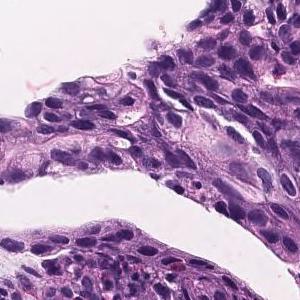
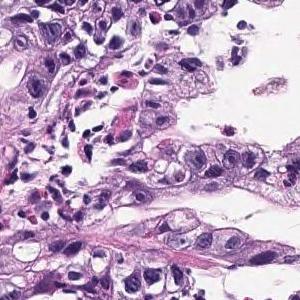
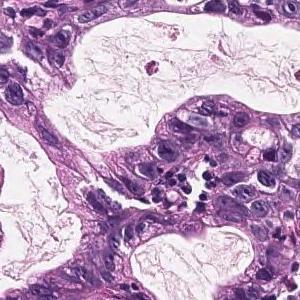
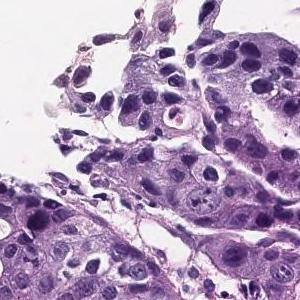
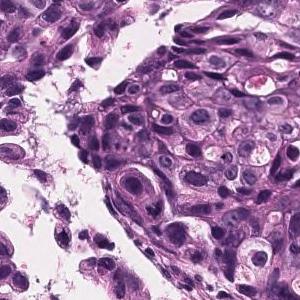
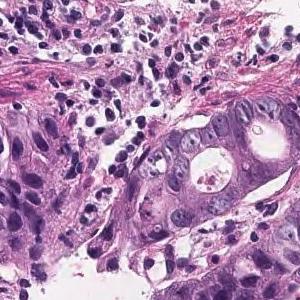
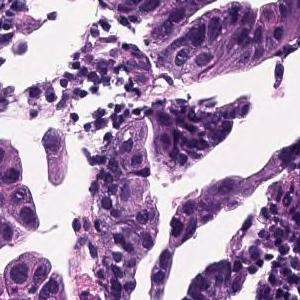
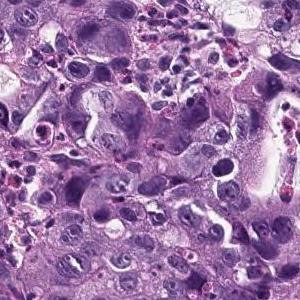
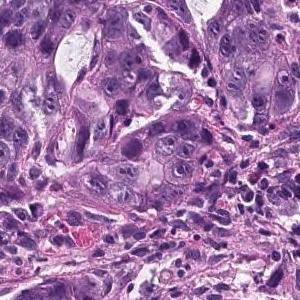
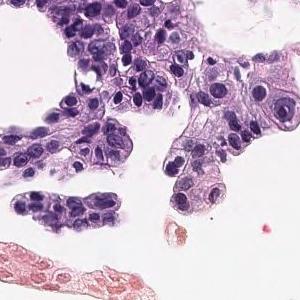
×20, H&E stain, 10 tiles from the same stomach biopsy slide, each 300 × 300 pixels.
Report on the slide these tiles come from. The report and the diagnosis describe the slide as a whole, so these tiles may not show every feature named and may include non-tumor tissue.
Tumor cells are large, highly columnar, large club-shaped nuclei, and are associated with chromatin aggregation. Papillary adenocarcinoma.
